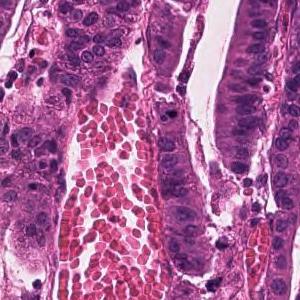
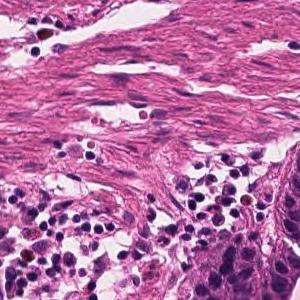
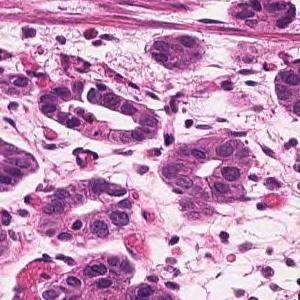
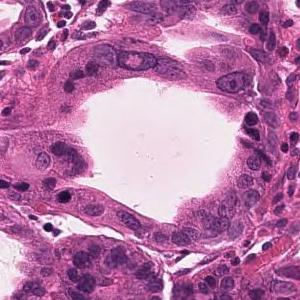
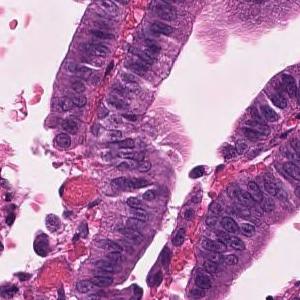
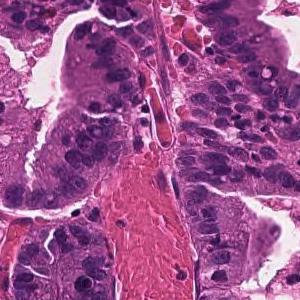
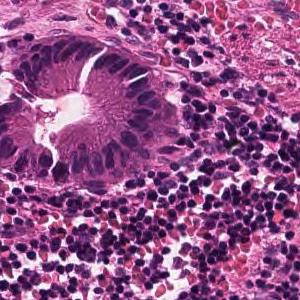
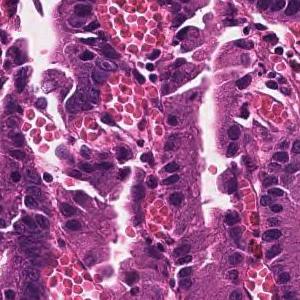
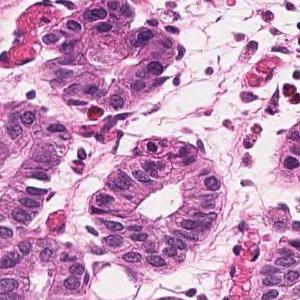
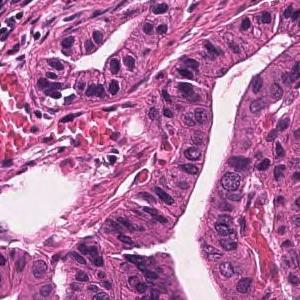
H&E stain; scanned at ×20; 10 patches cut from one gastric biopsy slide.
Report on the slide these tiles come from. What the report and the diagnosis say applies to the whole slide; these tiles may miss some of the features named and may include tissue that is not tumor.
Infiltrating tumor tissue with medium-sized, irregular ductal structure or large papillary appearance is observed. Well differentiated tubular adenocarcinoma
